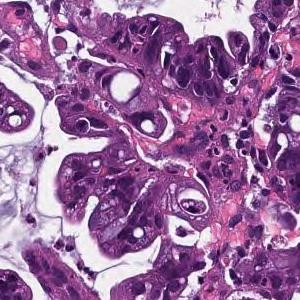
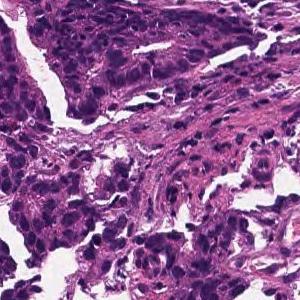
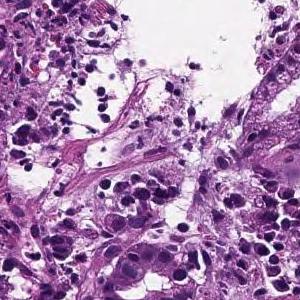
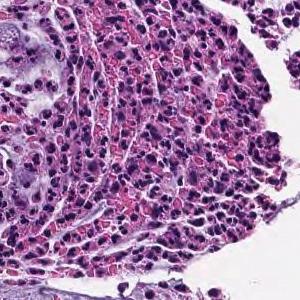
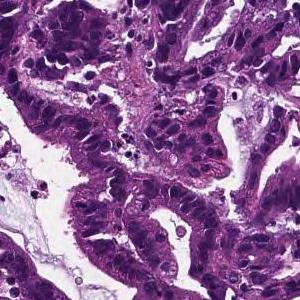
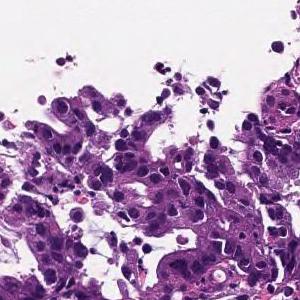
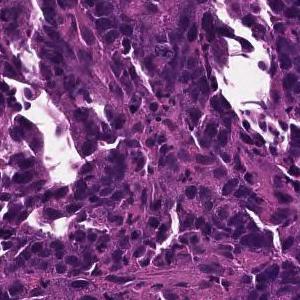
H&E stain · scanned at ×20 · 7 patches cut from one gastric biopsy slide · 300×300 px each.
Diagnostic report for the slide these tiles come from. Both the report and the diagnosis are for the whole slide: these tiles need not show every feature named, and some of the tissue shown may not be tumor.
On the superficial epithelium, tumor tissue consisting of large irregular glandular ducts partially fused and infiltrated is observed. Well to moderately differentiated tubular adenocarcinoma (well differentiated tubular adenocarcinoma, moderately differentiated tubular adenocarcinoma)
Tumor subtype: well to moderately differentiated tubular adenocarcinoma.
